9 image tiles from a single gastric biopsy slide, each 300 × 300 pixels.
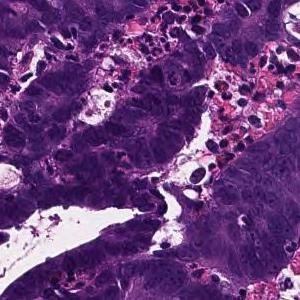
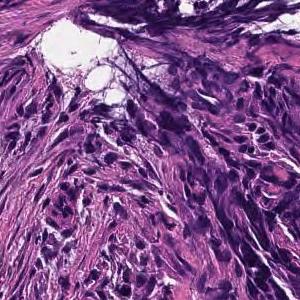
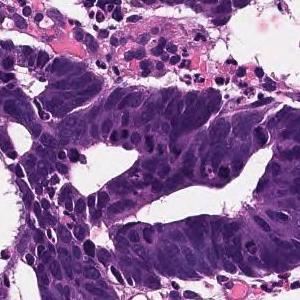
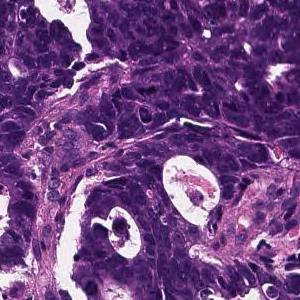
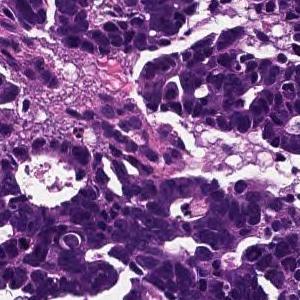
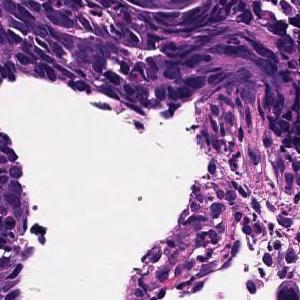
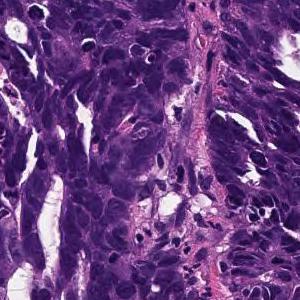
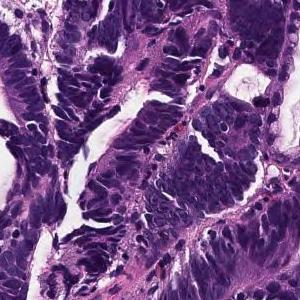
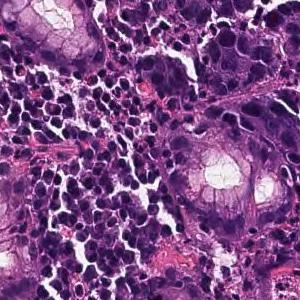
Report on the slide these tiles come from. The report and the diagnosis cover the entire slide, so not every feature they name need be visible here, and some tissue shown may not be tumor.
In the superficial epithelium, tumor tissue that invades by forming medium-sized to small, irregular ducts is observed. moderately differentiated tubular adenocarcinoma.
